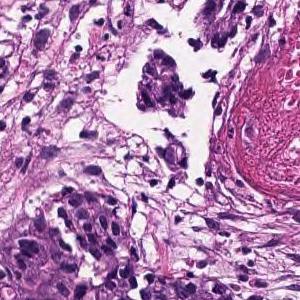
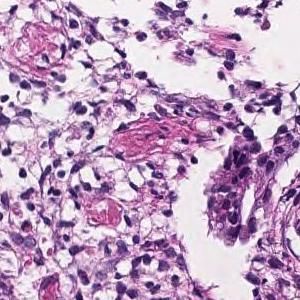
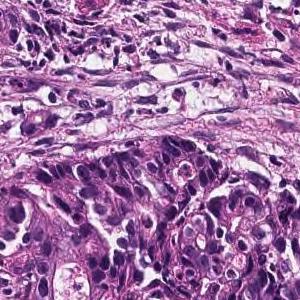
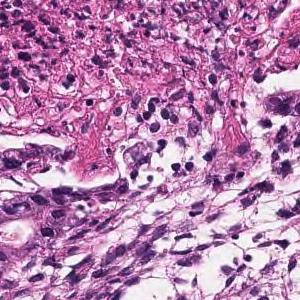
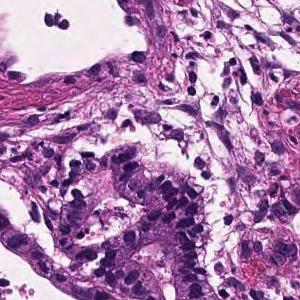
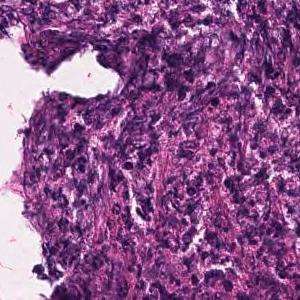
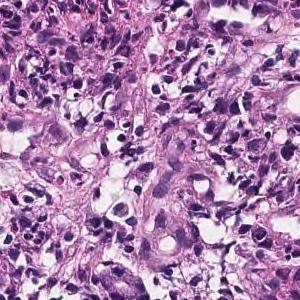
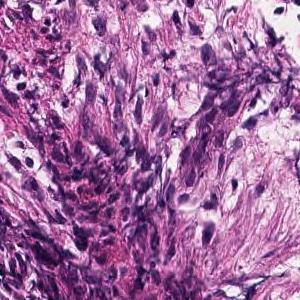
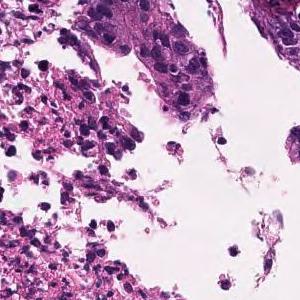
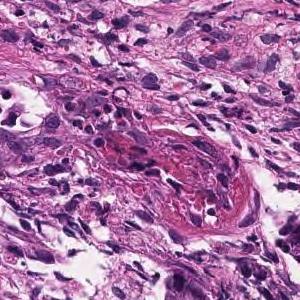
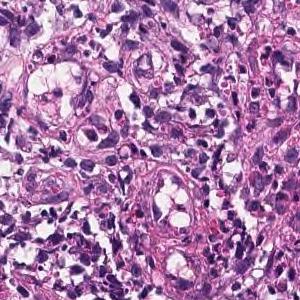
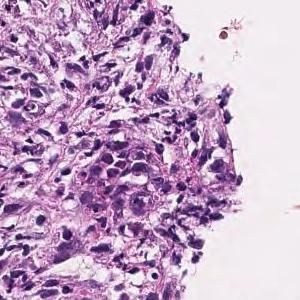
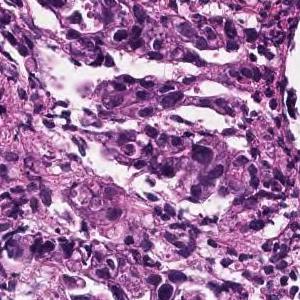
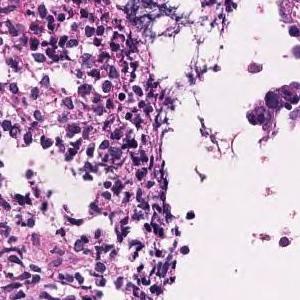
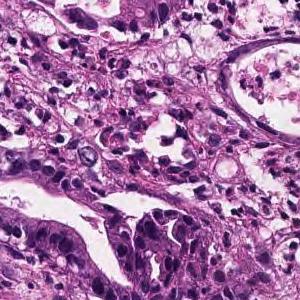
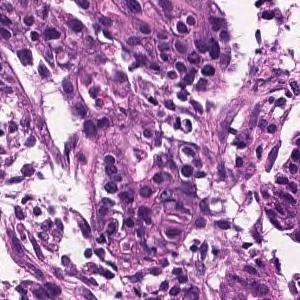
16 tiles cut from one stomach biopsy slide, H&E.
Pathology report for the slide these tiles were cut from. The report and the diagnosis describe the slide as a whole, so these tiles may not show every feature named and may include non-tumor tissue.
In the superficial epithelium, medium to small, irregular gland ducts are formed, and in some cases, the gland ducts are fused to show solid alveolar lesions and infiltrating tumor tissue is observed. Moderately to poorly differentiated adenocarcinoma.
